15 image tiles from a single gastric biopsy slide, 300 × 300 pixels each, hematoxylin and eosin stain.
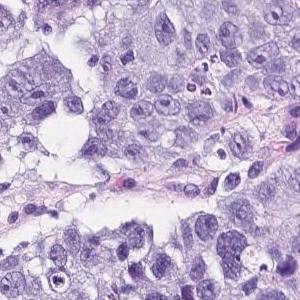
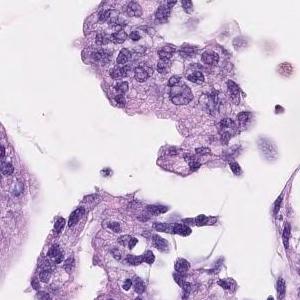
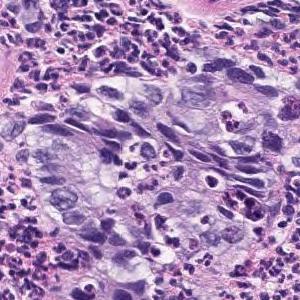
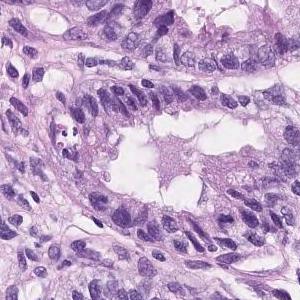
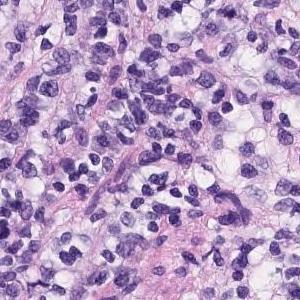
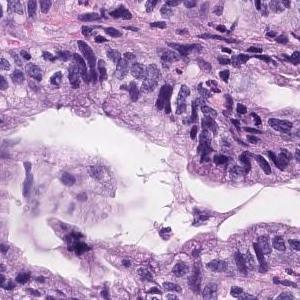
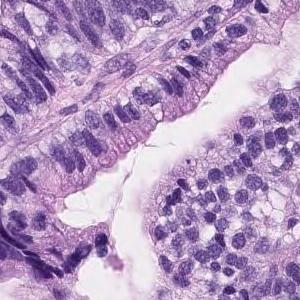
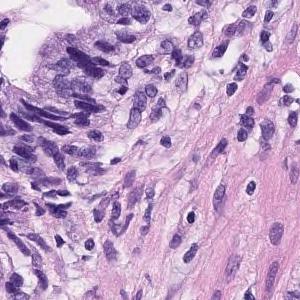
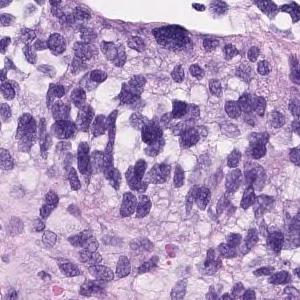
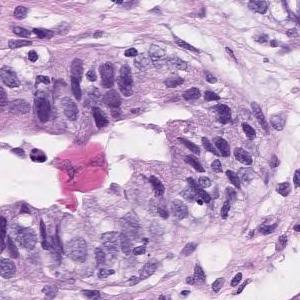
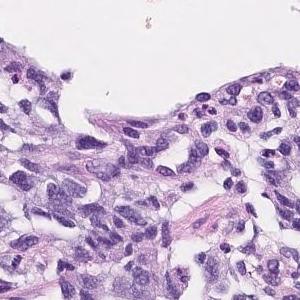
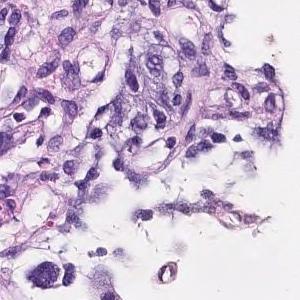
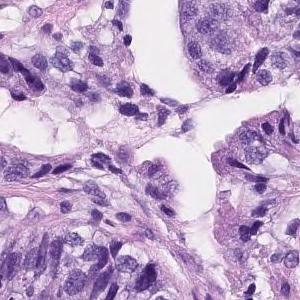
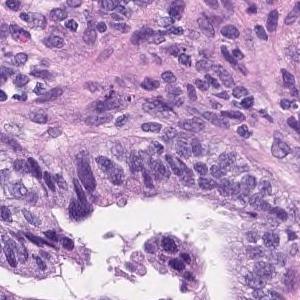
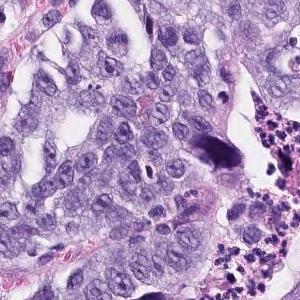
Diagnostic report for the slide these tiles come from. The report and the diagnosis describe the slide as a whole, so these tiles may not show every feature named and may include non-tumor tissue.
Tumor cells are large, highly columnar, large club-shaped nuclei, and are associated with chromatin aggregation. Papillary adenocarcinoma.
